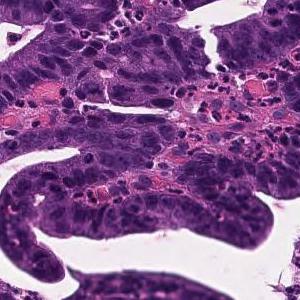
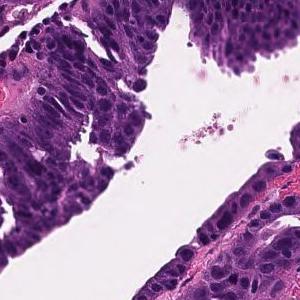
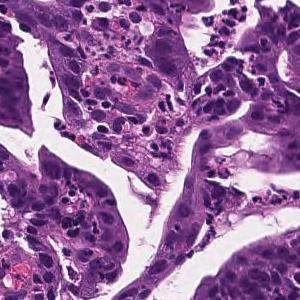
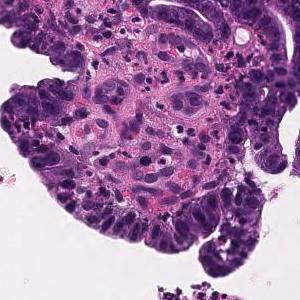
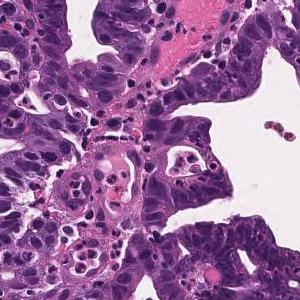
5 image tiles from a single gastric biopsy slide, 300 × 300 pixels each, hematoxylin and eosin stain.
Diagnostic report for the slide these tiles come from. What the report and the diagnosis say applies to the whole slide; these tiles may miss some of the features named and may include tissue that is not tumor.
Tumor cells are large, highly columnar, large club-shaped nuclei, and are associated with chromatin aggregation. Papillary adenocarcinoma.
